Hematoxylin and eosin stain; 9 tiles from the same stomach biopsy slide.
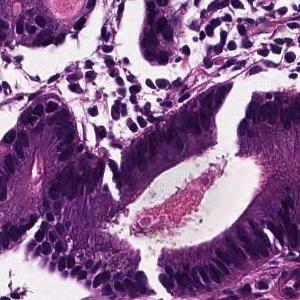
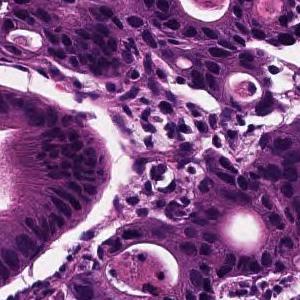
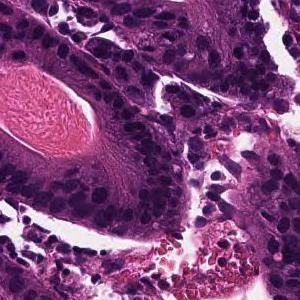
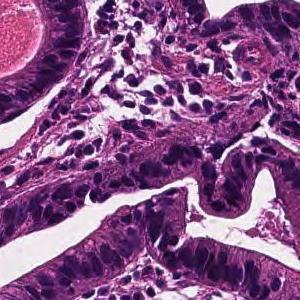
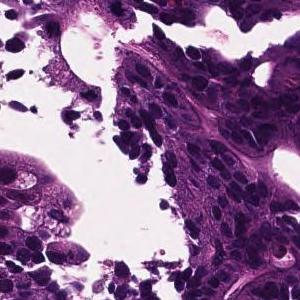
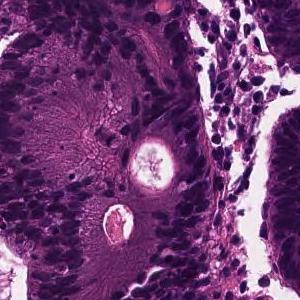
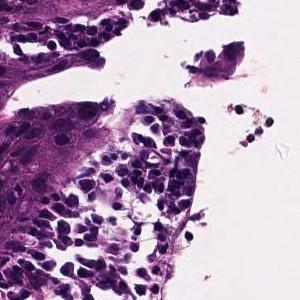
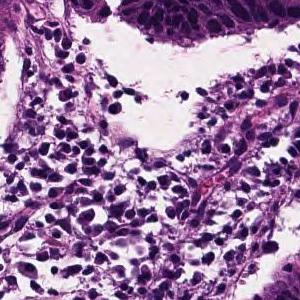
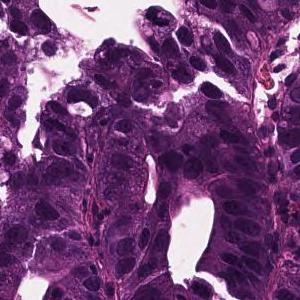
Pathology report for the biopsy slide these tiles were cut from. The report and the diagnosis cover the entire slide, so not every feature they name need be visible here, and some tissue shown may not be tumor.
In the superficial epithelium, tumor tissue that invades by forming medium-sized to small, irregular ducts is observed. moderately differentiated tubular adenocarcinoma.
